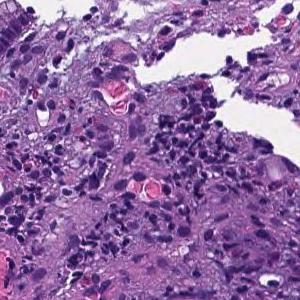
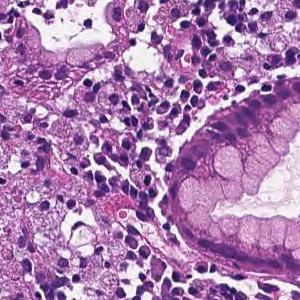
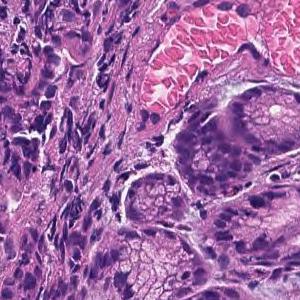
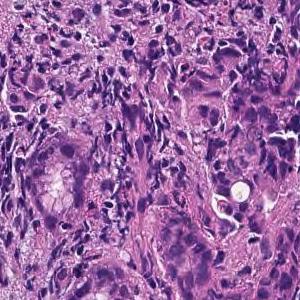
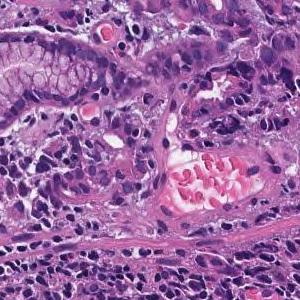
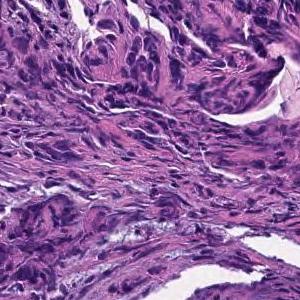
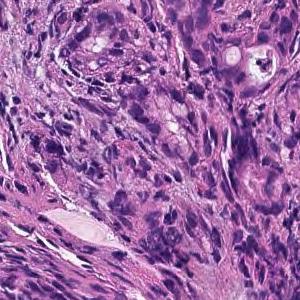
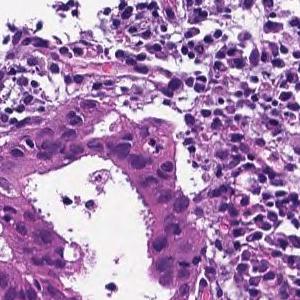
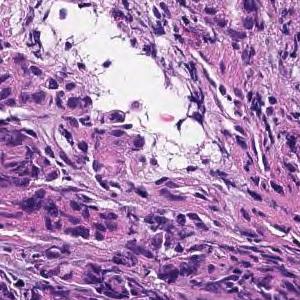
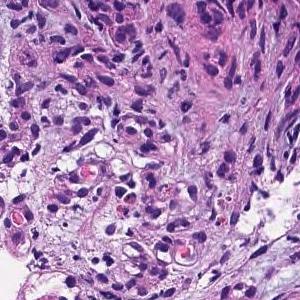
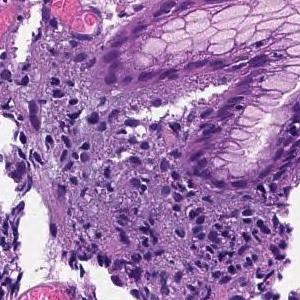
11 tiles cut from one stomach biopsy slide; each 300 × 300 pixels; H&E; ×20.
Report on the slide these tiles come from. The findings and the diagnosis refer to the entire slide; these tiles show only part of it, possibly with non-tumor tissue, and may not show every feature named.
Tumor tissue consisting of medium-sized, cord-like or irregular glandular infiltration is observed in the superficial epithelium. Poorly differentiated adenocarcinoma, non-solid type or moderately differentiated tubular adenocarcinoma
Histologic type: Moderately to poorly differentiated adenocarcinoma.
The term "non-solid type" comes from the Japanese Classification of Gastric Carcinoma.
